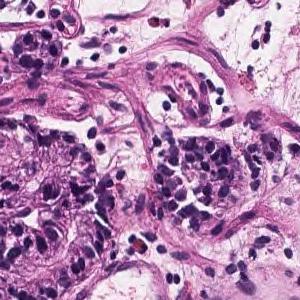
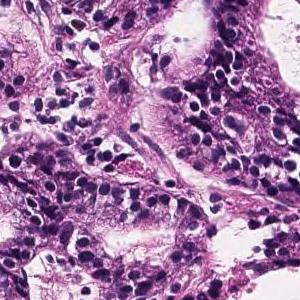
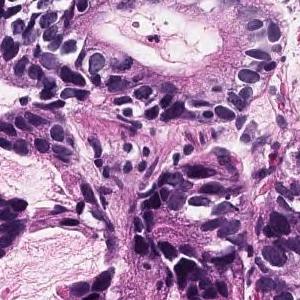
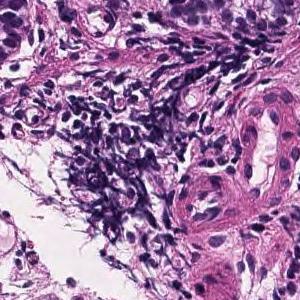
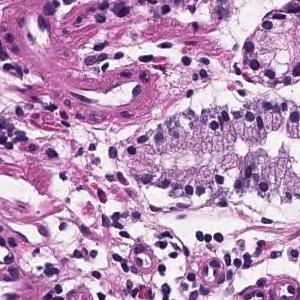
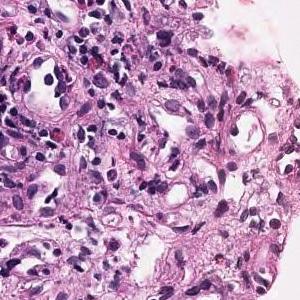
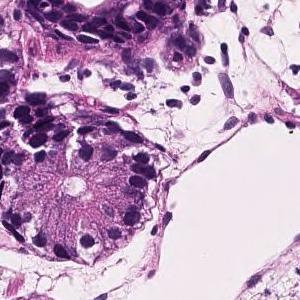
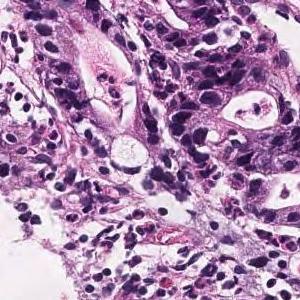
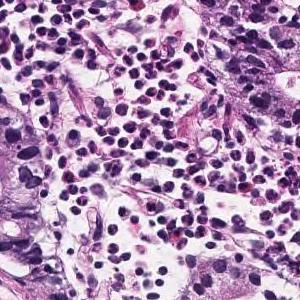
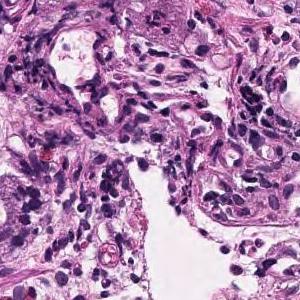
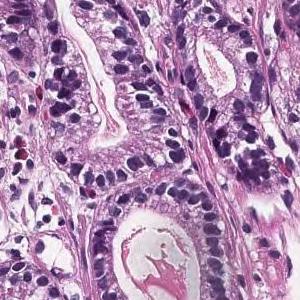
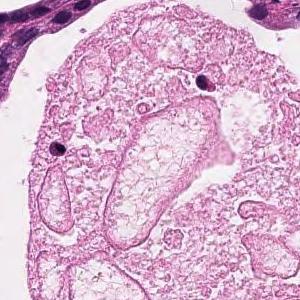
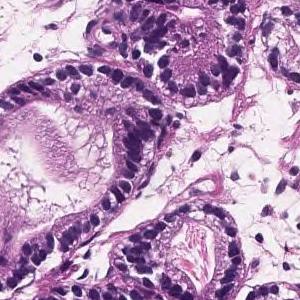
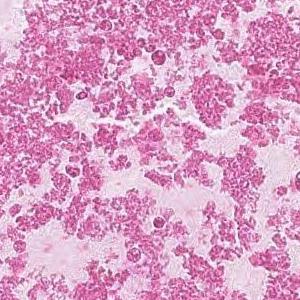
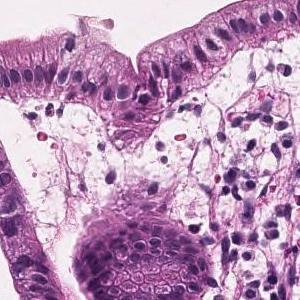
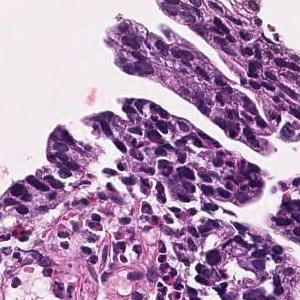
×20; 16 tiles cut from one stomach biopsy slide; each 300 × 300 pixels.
Diagnostic report for the slide these tiles come from. The findings and the diagnosis refer to the entire slide; these tiles show only part of it, possibly with non-tumor tissue, and may not show every feature named.
Tumor tissue consisting of medium-sized and irregular ducts is observed infiltrating in the superficial epithelium. Tumor cells are highly columnar, with nuclei aligned basolaterally and polarized. Well differentiated tubular adenocarcinoma.
